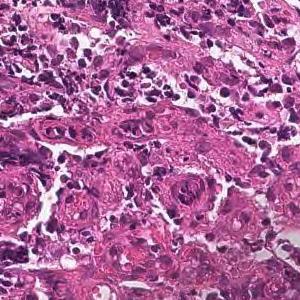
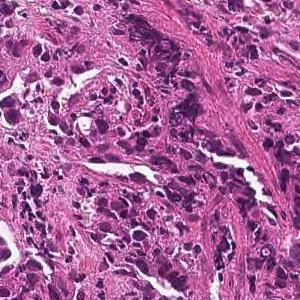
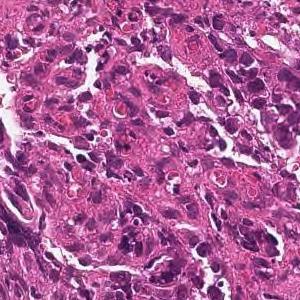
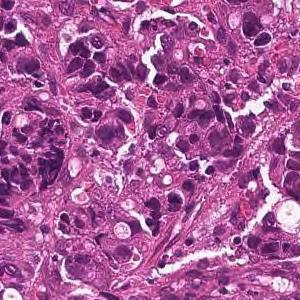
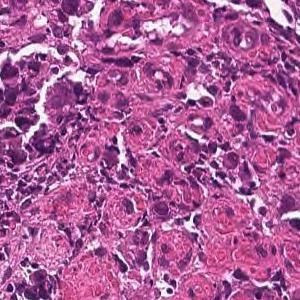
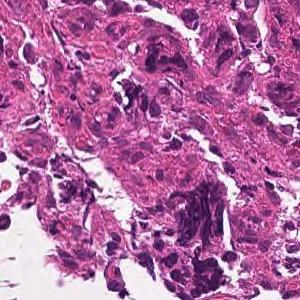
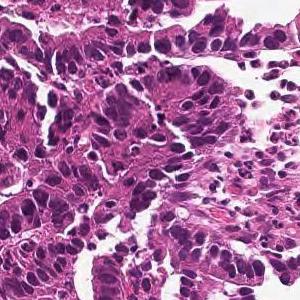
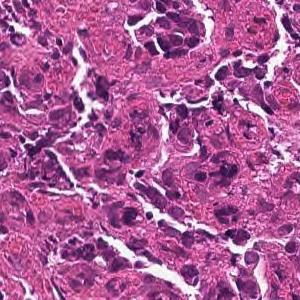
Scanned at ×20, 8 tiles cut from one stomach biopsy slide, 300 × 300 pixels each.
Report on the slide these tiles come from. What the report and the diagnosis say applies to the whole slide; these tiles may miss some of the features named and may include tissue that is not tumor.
Tumor tissue consisting of medium-sized, cord-like or irregular glandular infiltration is observed in the superficial epithelium. Poorly differentiated adenocarcinoma, non-solid type or moderately differentiated tubular adenocarcinoma
Histological subtype: Moderately to poorly differentiated adenocarcinoma.
The term "non-solid type" comes from the Japanese Classification of Gastric Carcinoma.
